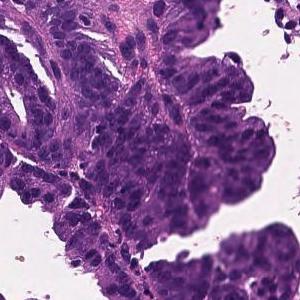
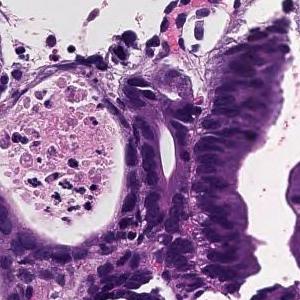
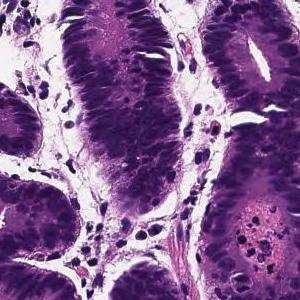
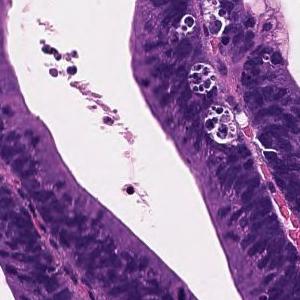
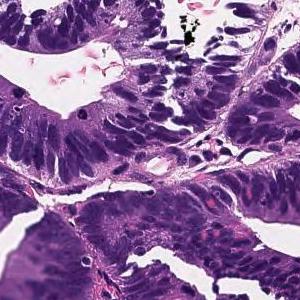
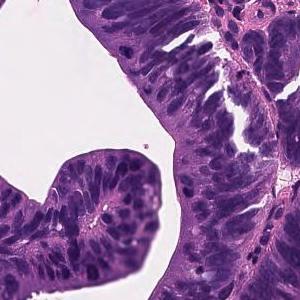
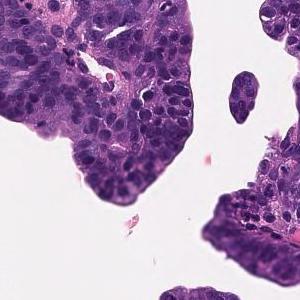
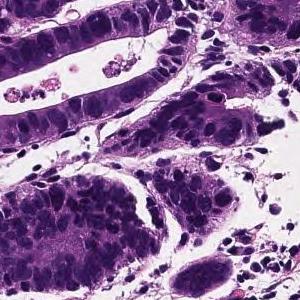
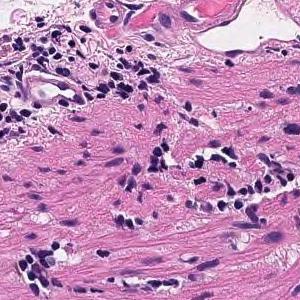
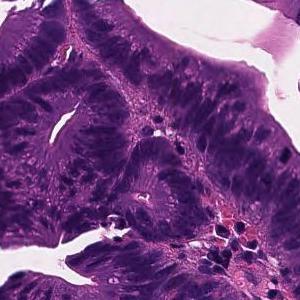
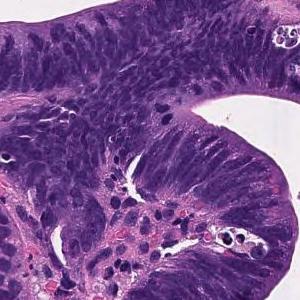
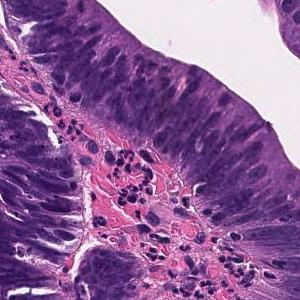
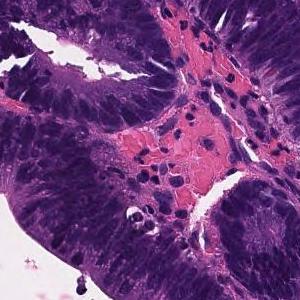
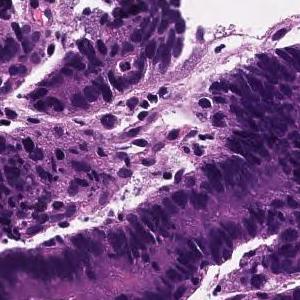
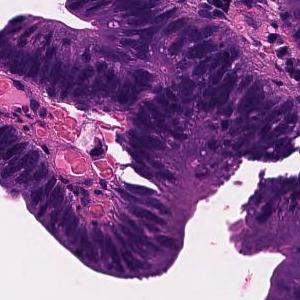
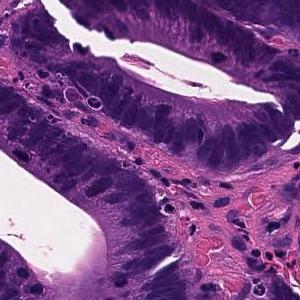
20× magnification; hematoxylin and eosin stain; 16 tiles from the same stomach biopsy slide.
Pathology report for the slide these tiles were cut from. Both the report and the diagnosis are for the whole slide: these tiles need not show every feature named, and some of the tissue shown may not be tumor.
Tumor tissue consisting of large papillary structures is found in the superficial epithelium. Papillary adenocarcinoma.
